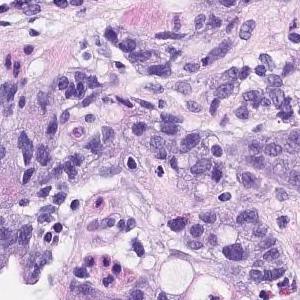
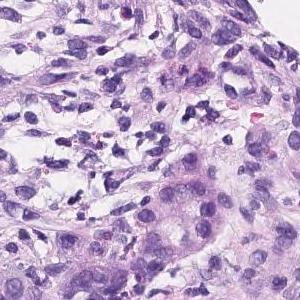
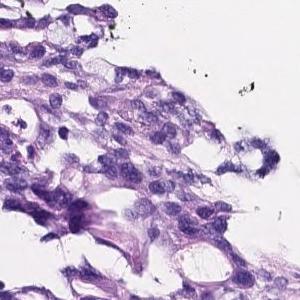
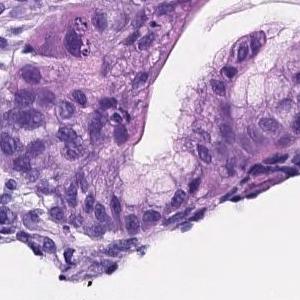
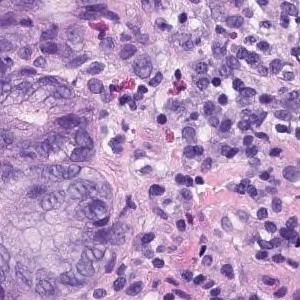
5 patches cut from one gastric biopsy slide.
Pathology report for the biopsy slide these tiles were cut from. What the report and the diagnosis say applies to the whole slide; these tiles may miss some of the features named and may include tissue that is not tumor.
Irregularly fused atypical ducts proliferating while replacing existing ducts was observed. moderately differentiated tubular adenocarcinoma
